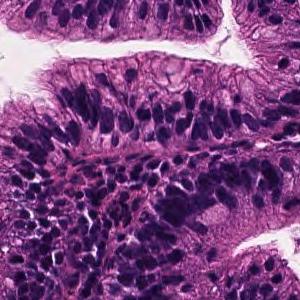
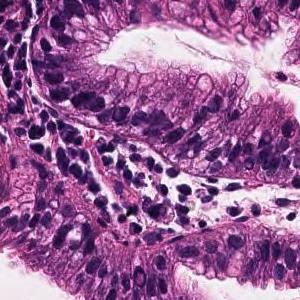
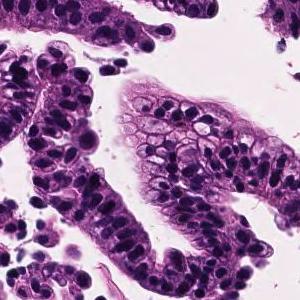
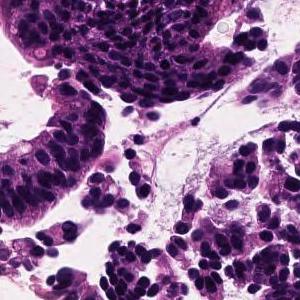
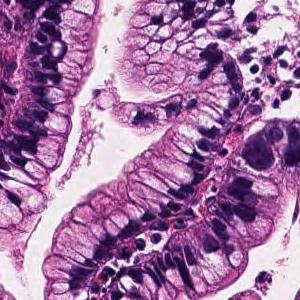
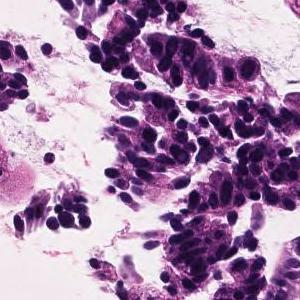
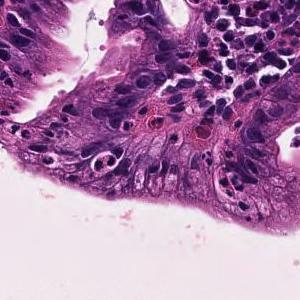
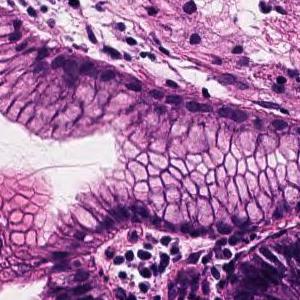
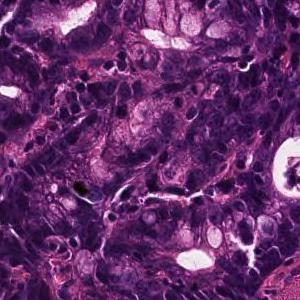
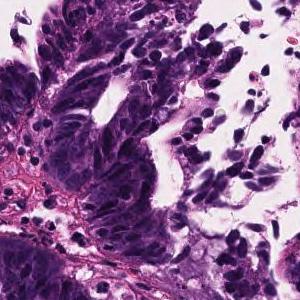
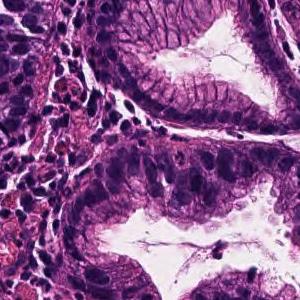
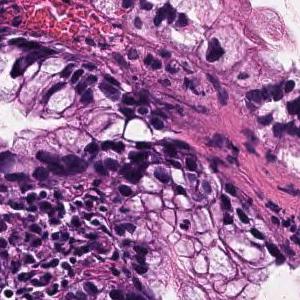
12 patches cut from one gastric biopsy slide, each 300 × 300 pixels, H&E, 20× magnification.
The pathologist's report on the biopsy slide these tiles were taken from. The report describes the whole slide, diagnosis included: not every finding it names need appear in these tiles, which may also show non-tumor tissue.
Tumor cells are large, highly columnar, large club-shaped nuclei, and are associated with chromatin aggregation. Papillary adenocarcinoma.
